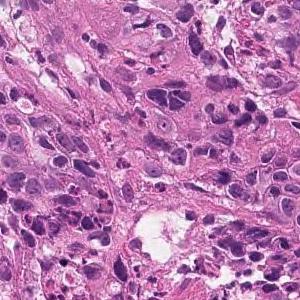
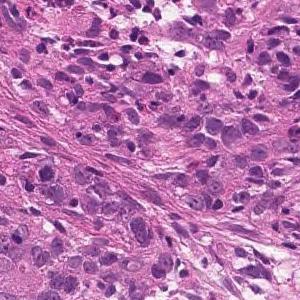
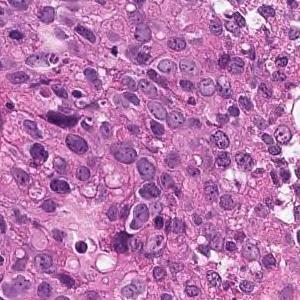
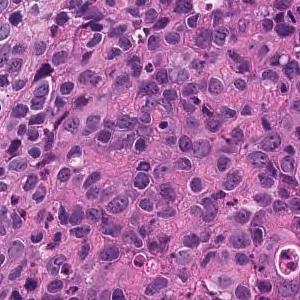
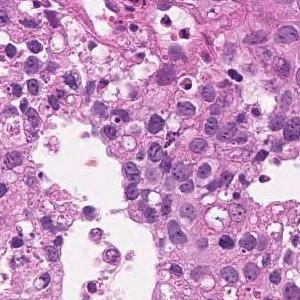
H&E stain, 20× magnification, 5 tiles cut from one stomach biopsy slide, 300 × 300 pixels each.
Report on the slide these tiles come from. The report describes the whole slide, diagnosis included: not every finding it names need appear in these tiles, which may also show non-tumor tissue.
The superficial epithelium shows a large sheet-like shape, and some tumor tissue infiltrates with small irregular ducts. Poorly differentiated adenocarcinoma, solid-type
Histological subtype: Poorly differentiated adenocarcinoma, solid type, a category of the Japanese Classification of Gastric Carcinoma; in the WHO 2019 classification it is tubular adenocarcinoma, poorly differentiated.
